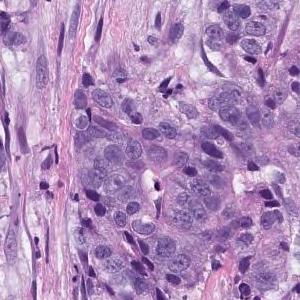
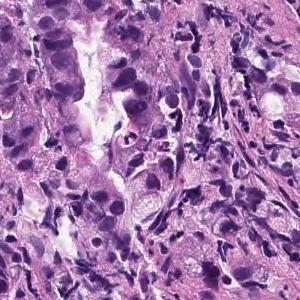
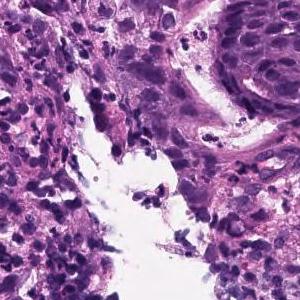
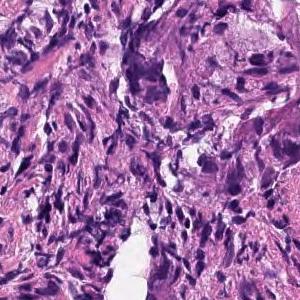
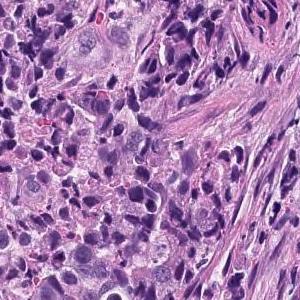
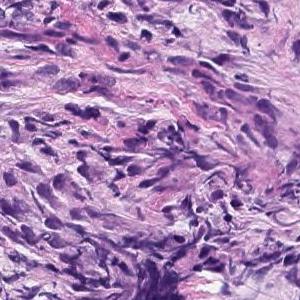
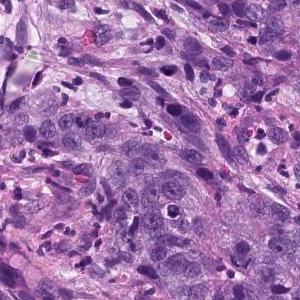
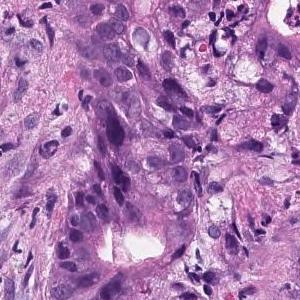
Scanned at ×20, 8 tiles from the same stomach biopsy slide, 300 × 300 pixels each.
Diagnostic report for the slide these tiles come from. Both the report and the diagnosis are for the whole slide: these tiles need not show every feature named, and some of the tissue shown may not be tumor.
Medium to small, irregular glandular ducts are formed in the superficial epithelium, and in some cases, the glandular ducts are fused to show solid alveolar lesions and infiltrating tumor tissue is observed. Moderately to poorly differentiated adenocarcinoma.
